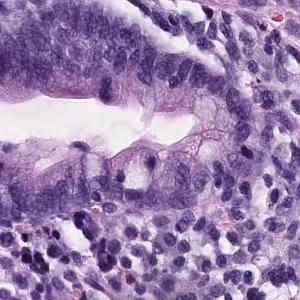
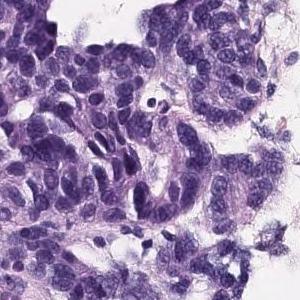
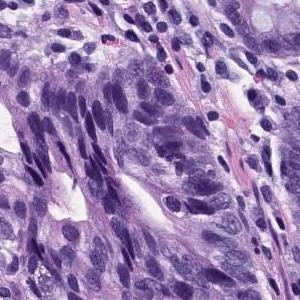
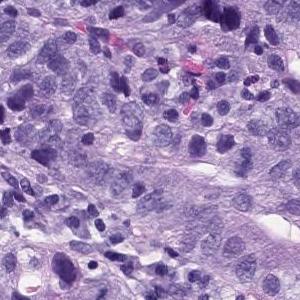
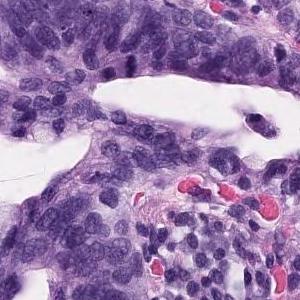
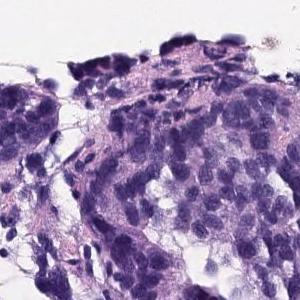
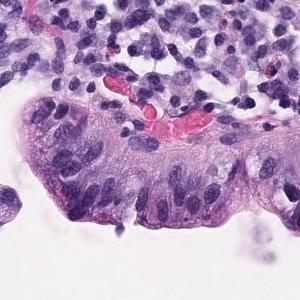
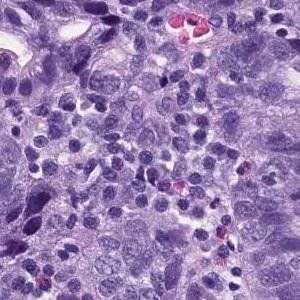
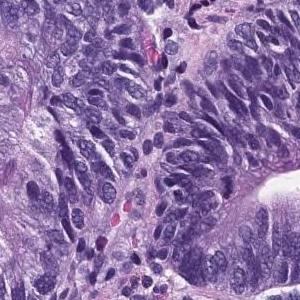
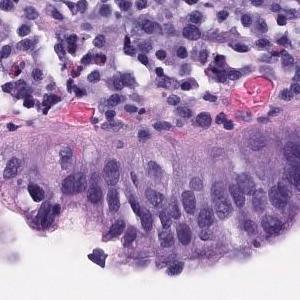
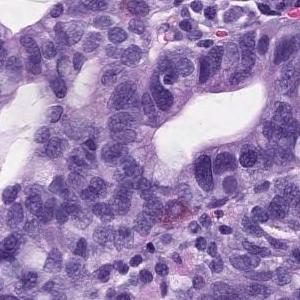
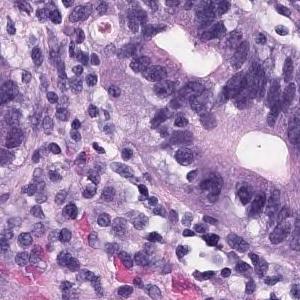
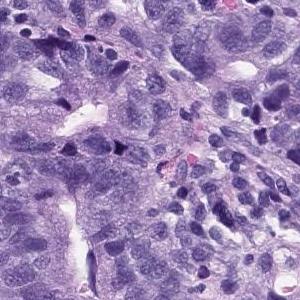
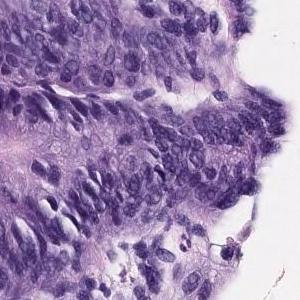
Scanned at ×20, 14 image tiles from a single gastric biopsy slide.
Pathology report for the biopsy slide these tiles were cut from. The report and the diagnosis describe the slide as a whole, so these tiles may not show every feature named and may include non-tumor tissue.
In the superficial epithelium, tumor tissue that invades by forming medium-sized to small, irregular ducts is observed. Moderately differentiated adenocarcinoma.
Histologic type: Moderately differentiated tubular adenocarcinoma.
